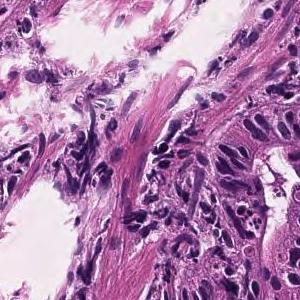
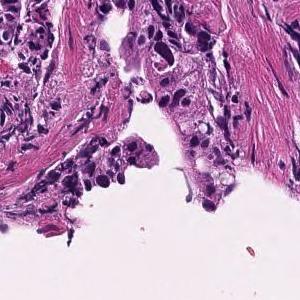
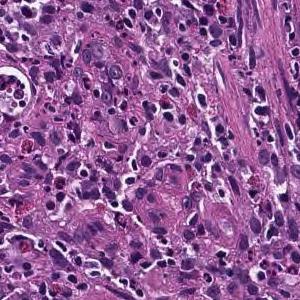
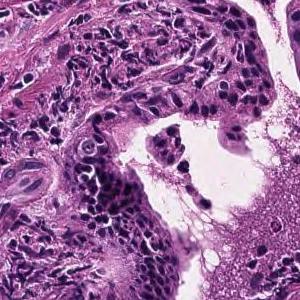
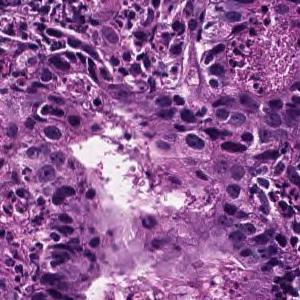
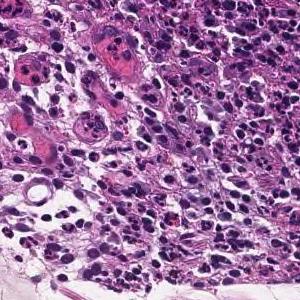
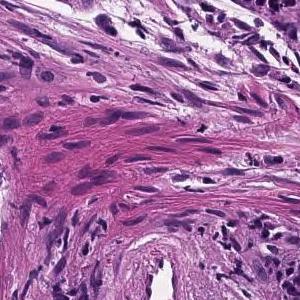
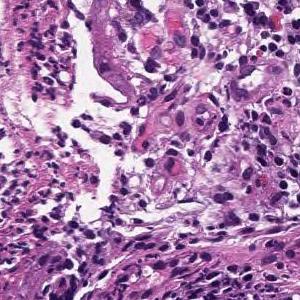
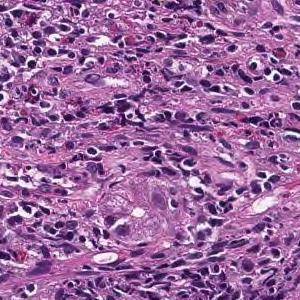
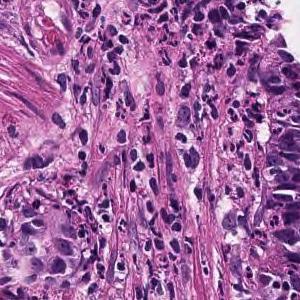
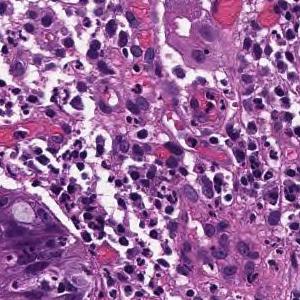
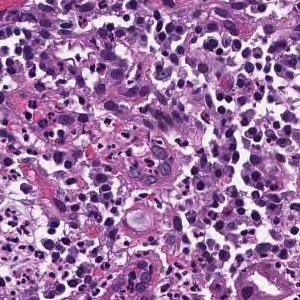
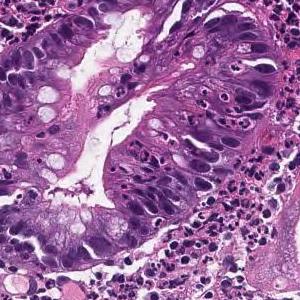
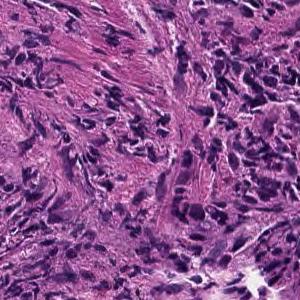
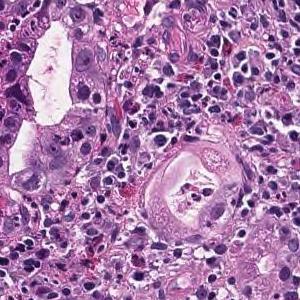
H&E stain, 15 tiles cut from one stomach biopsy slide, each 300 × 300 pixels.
Pathology report for the biopsy slide these tiles were cut from. The report and the diagnosis describe the slide as a whole, so these tiles may not show every feature named and may include non-tumor tissue.
On the superficial epithelium, tumor tissue consisting of large, irregular glandular ducts partially fused and infiltrated is observed. Well to moderately differentiated tubular adenocarcinoma (well differentiated tubular adenocarcinoma, moderately differentiated tubular adenocarcinoma)
Subtype: Well to moderately differentiated tubular adenocarcinoma.
